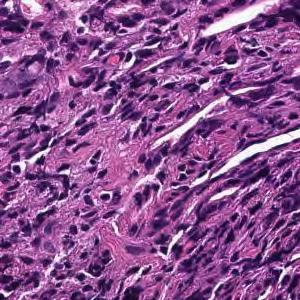
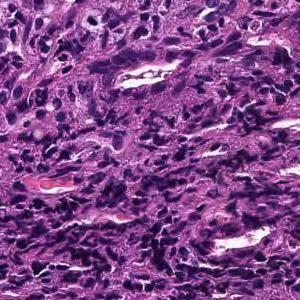
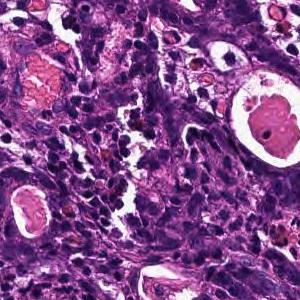
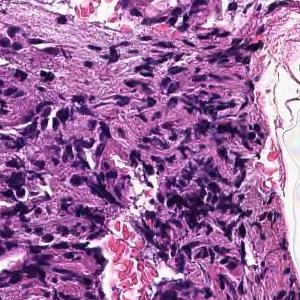
4 image tiles from a single gastric biopsy slide · 300×300 px each · hematoxylin and eosin stain.
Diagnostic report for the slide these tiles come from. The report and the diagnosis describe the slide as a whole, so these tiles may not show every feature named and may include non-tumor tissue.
In the superficial epithelium, tumor tissue that invades by forming medium-sized to small, irregular ducts is observed. moderately differentiated tubular adenocarcinoma.
